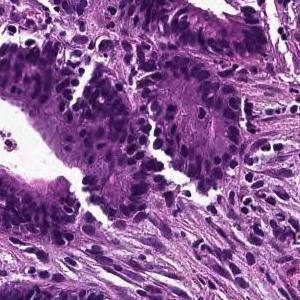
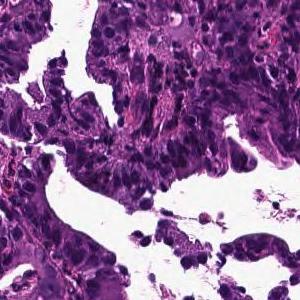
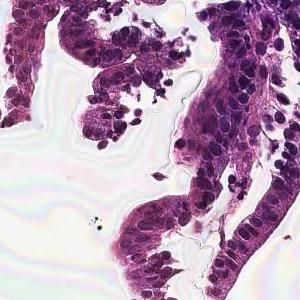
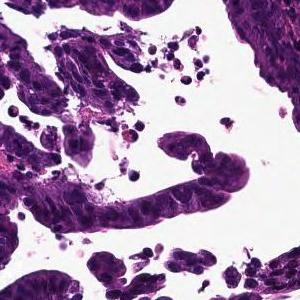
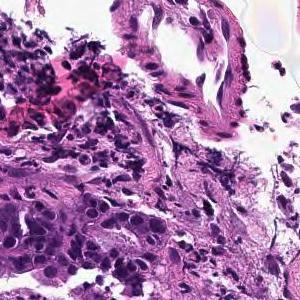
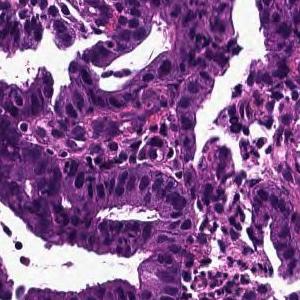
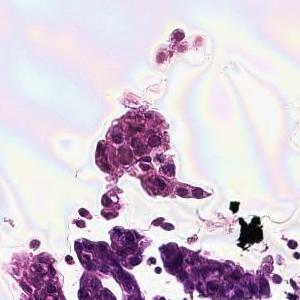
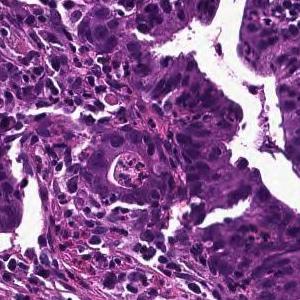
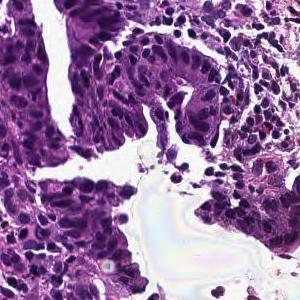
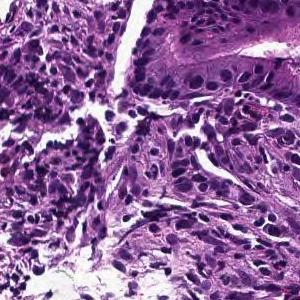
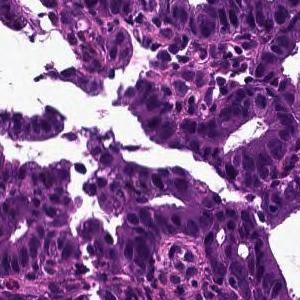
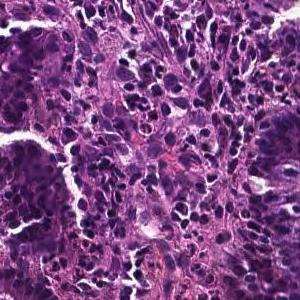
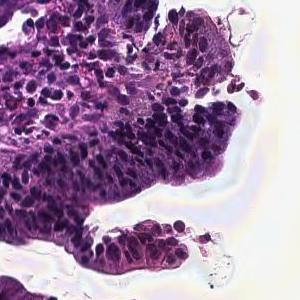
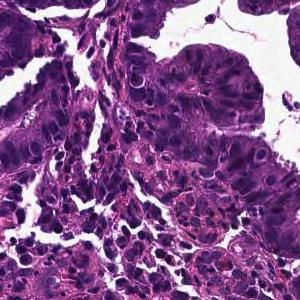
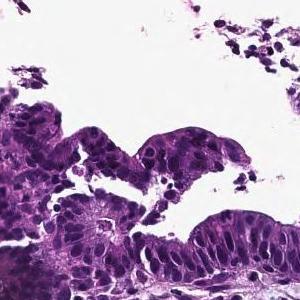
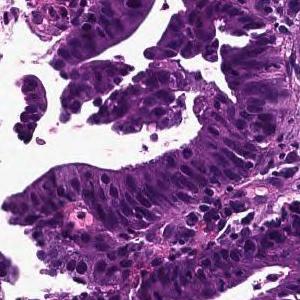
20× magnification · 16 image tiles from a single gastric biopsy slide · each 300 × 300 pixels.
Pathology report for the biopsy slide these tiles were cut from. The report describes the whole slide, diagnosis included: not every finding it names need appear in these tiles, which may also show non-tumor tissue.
Tumor cells are large, highly columnar, large club-shaped nuclei, and are associated with chromatin aggregation. Papillary adenocarcinoma.
